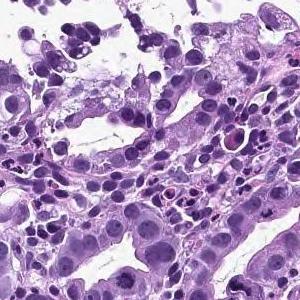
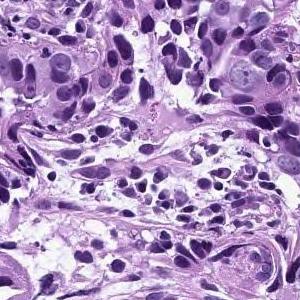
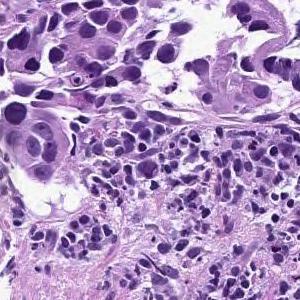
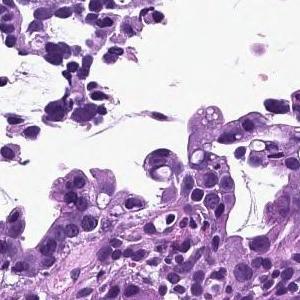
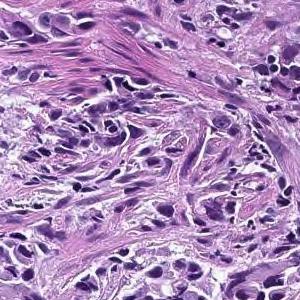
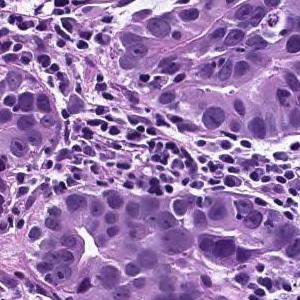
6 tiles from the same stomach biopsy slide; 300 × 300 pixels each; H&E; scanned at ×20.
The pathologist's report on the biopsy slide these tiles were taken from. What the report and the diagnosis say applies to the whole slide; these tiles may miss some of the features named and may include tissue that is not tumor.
In the superficial epithelium, tumor tissue that invades by forming medium-sized to small, irregular ducts is observed. moderately differentiated tubular adenocarcinoma.
